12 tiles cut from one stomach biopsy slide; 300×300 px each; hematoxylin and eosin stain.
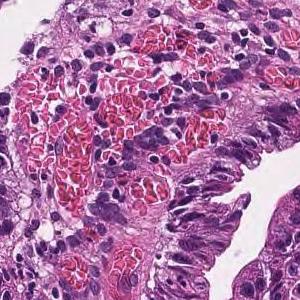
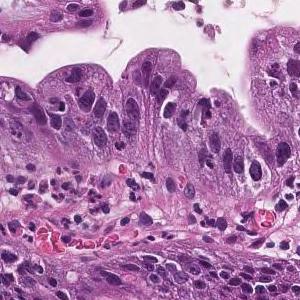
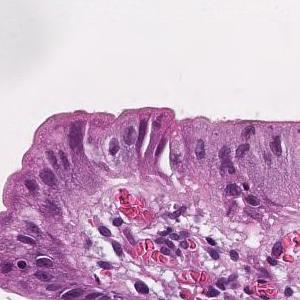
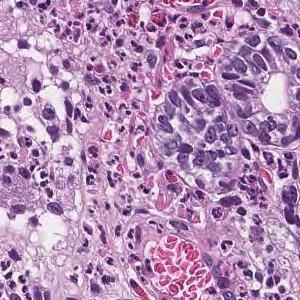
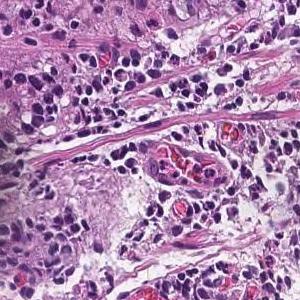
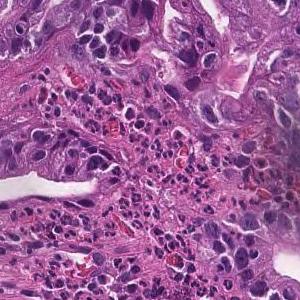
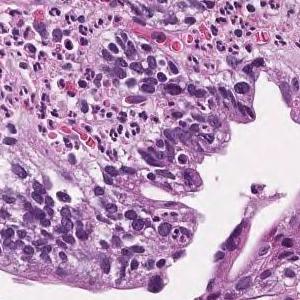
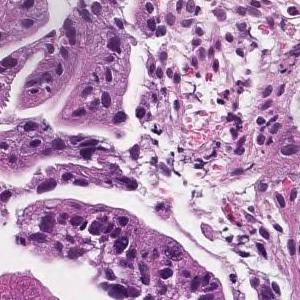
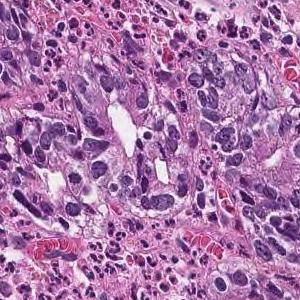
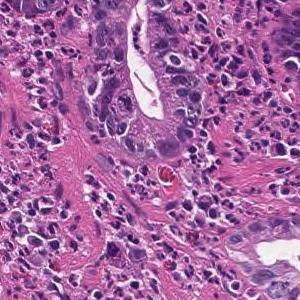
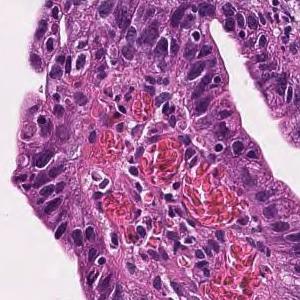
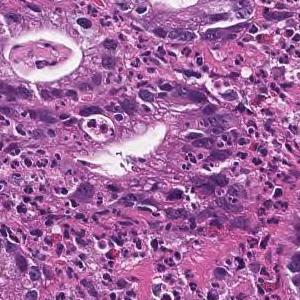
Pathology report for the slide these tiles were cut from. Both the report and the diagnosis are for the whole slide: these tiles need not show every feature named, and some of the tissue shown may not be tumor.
Tumor cells are large, highly columnar, large club-shaped nuclei, and are associated with chromatin aggregation. Papillary adenocarcinoma.
